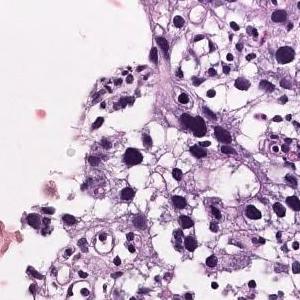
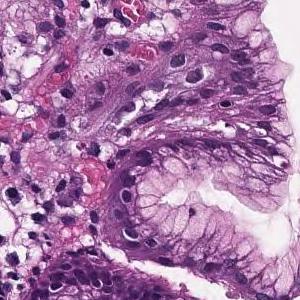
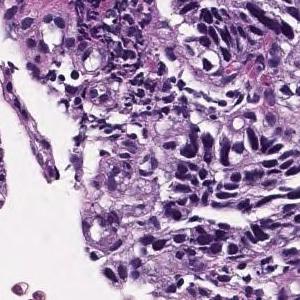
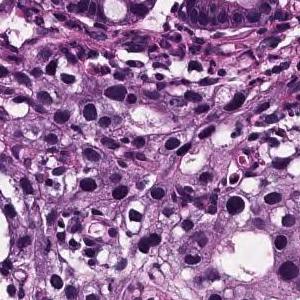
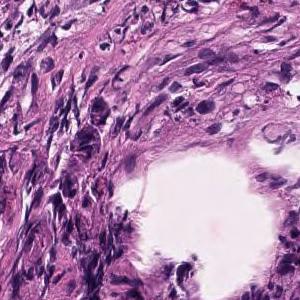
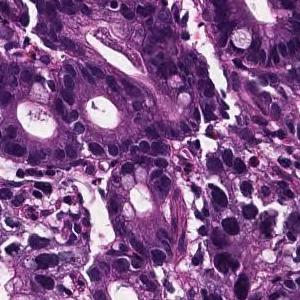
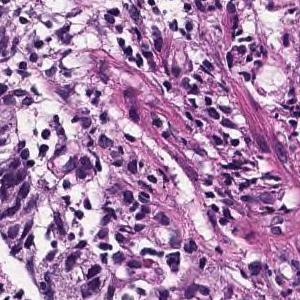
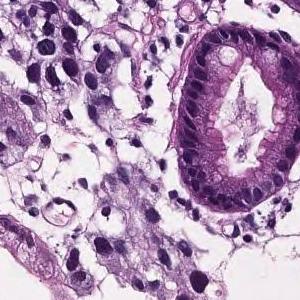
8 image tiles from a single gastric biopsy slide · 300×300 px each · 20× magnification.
Report on the slide these tiles come from. The report and the diagnosis describe the slide as a whole, so these tiles may not show every feature named and may include non-tumor tissue.
In the superficial epithelium, medium to small irregular gland ducts are formed, and in some cases, the ducts are fused to show solid alveolar lesions and infiltrating tumor tissue is observed. Moderately to poorly differentiated adenocarcinoma
